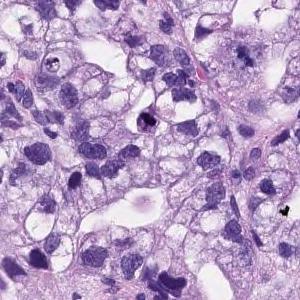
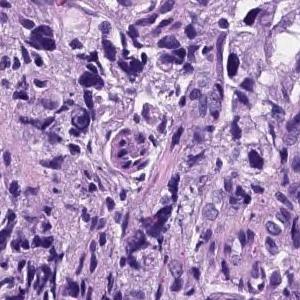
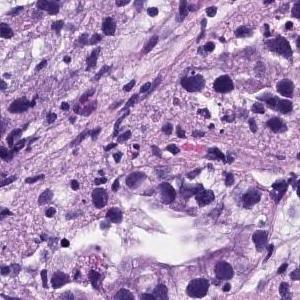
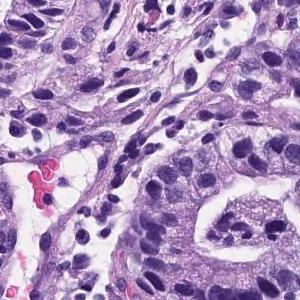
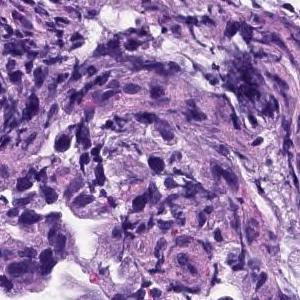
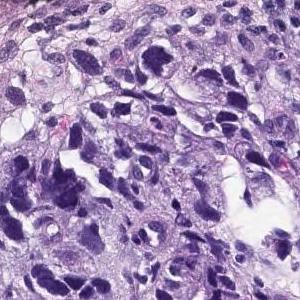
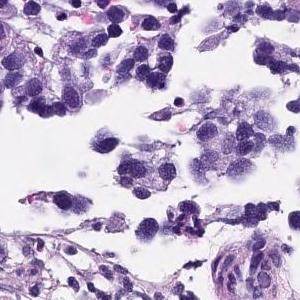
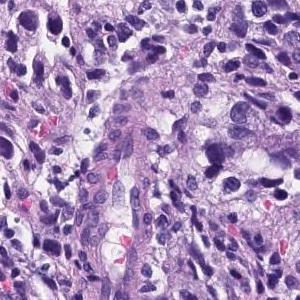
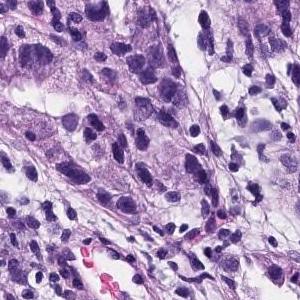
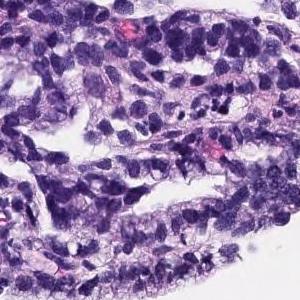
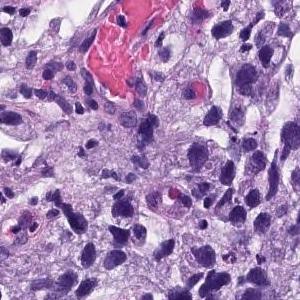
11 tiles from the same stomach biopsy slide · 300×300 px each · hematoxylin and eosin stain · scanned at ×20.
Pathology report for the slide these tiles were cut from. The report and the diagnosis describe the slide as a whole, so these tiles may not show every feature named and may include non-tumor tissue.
Medium to small, irregular glandular ducts are formed in the superficial epithelium, and in some cases, the glandular ducts are fused to show solid alveolar lesions and infiltrating tumor tissue is observed. Poorly differentiated adenocarcinoma, Moderately differentiated adenocarcinoma.
Labeled in the dataset as moderately differentiated tubular adenocarcinoma.
